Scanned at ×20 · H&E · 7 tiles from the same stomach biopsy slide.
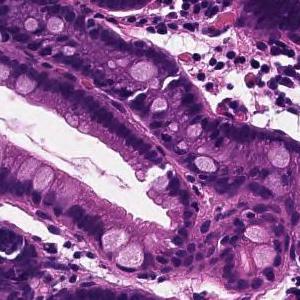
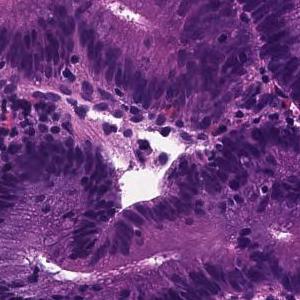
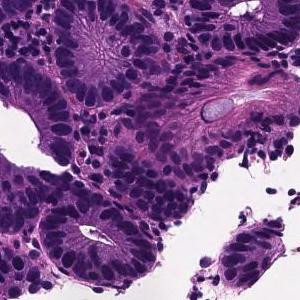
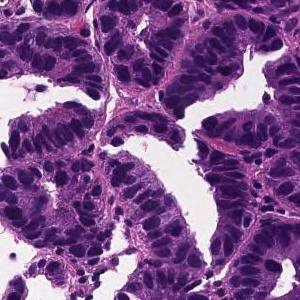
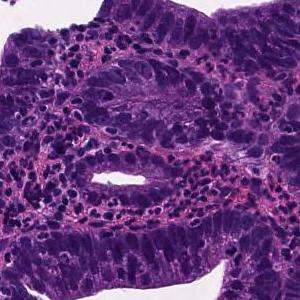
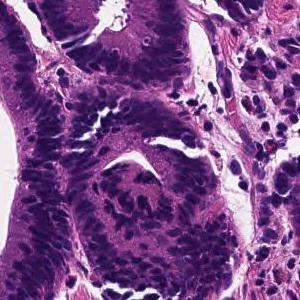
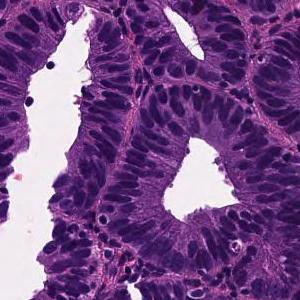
Pathology report for the biopsy slide these tiles were cut from. Both the report and the diagnosis are for the whole slide: these tiles need not show every feature named, and some of the tissue shown may not be tumor.
Tumor tissue in which medium to small irregular ducts infiltrate and proliferate in the submucosa can be seen in the epithelium. Well differentiated tubular adenocarcinoma
